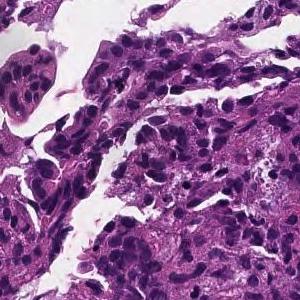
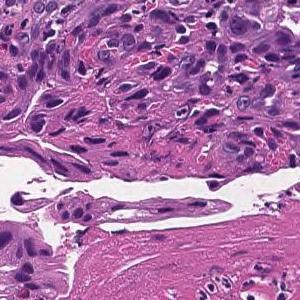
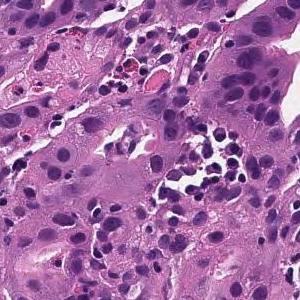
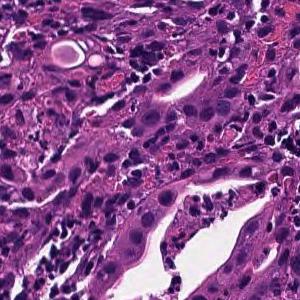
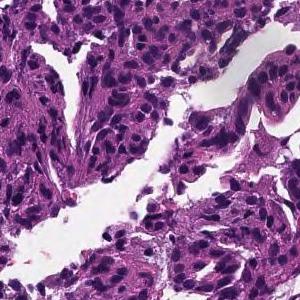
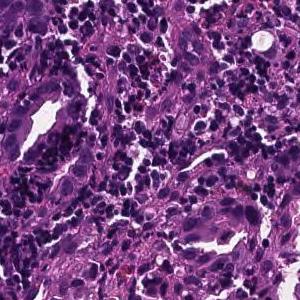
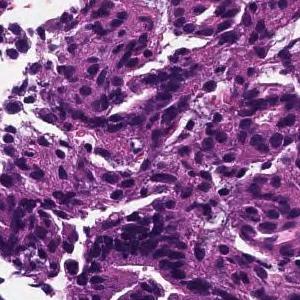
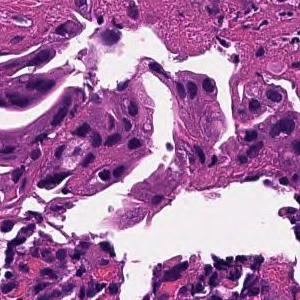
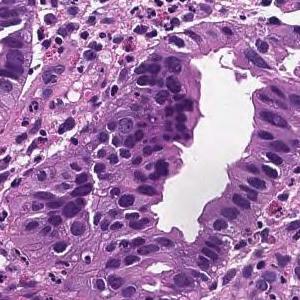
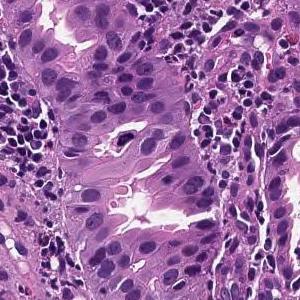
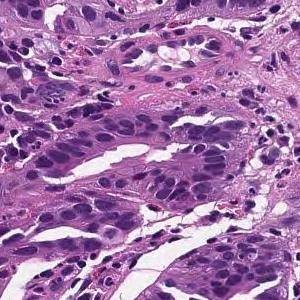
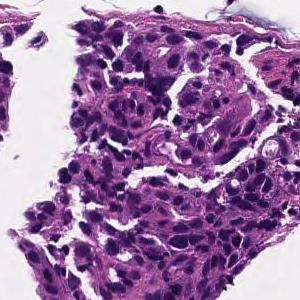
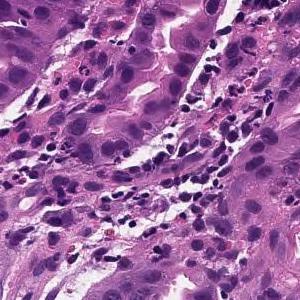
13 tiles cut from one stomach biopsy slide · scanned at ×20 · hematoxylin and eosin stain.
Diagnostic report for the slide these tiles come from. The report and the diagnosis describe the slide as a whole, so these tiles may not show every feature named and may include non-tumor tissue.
In the superficial epithelium, tumor tissue that invades by forming medium-sized to small, irregular ducts is observed. moderately differentiated tubular adenocarcinoma.
